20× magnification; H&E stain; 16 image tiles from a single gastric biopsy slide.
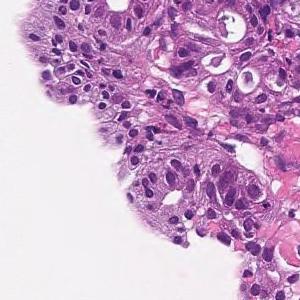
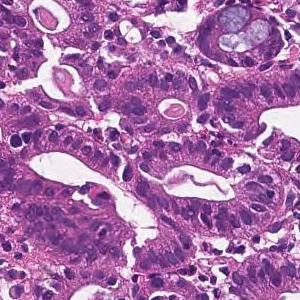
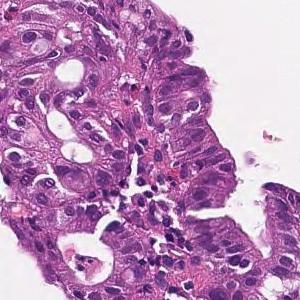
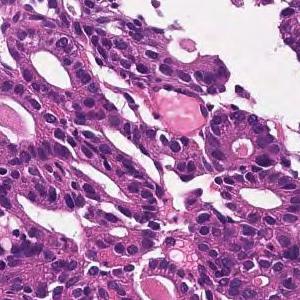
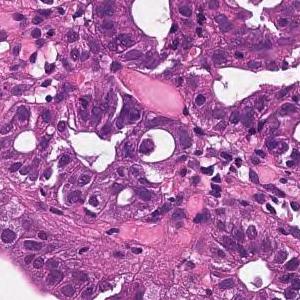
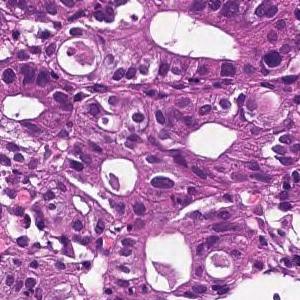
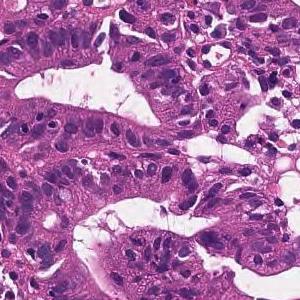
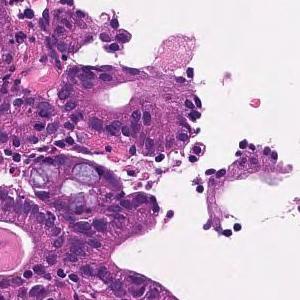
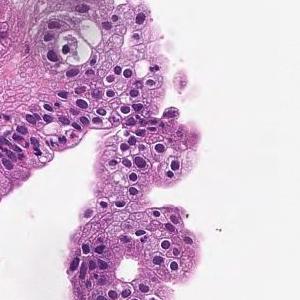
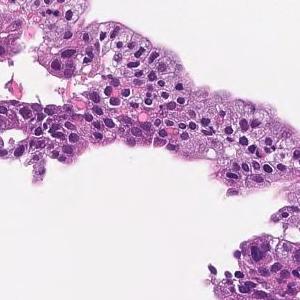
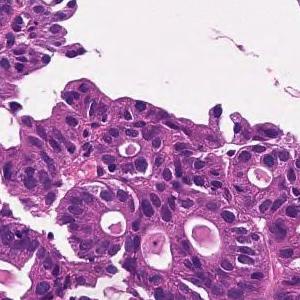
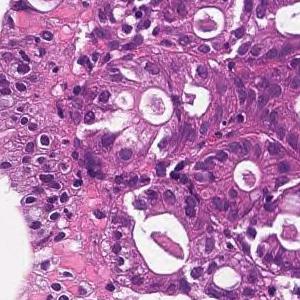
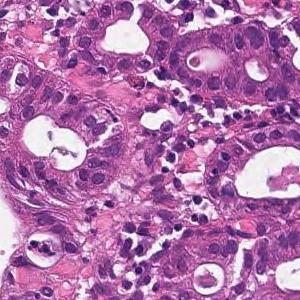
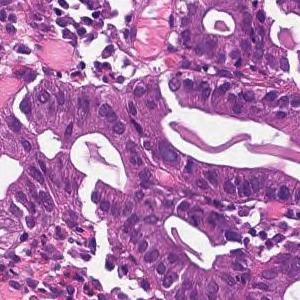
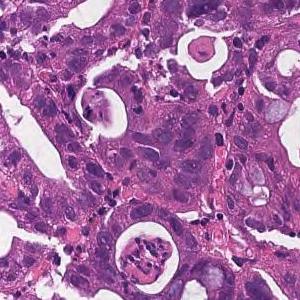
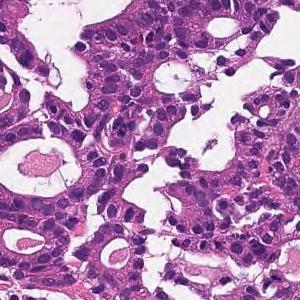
Report on the slide these tiles come from. The report and the diagnosis describe the slide as a whole, so these tiles may not show every feature named and may include non-tumor tissue.
On the superficial epithelium, tumor tissue consisting of medium-sized irregular glandular ducts partially fused and infiltrated is observed. Well to moderately differentiated tubular adenocarcinoma (well differentiated tubular adenocarcinoma-moderately differentiated tubular adenocarcinoma)
Subtype: Well to moderately differentiated tubular adenocarcinoma.
